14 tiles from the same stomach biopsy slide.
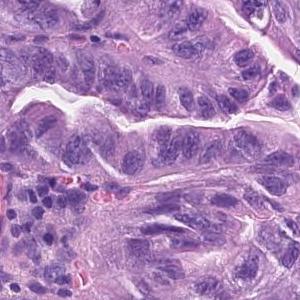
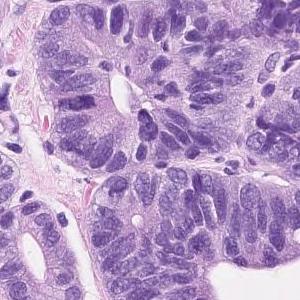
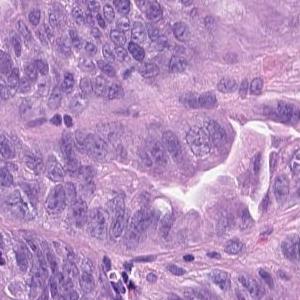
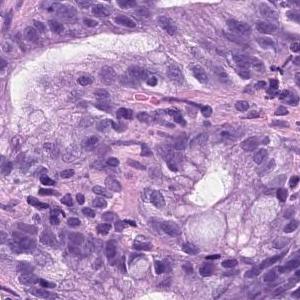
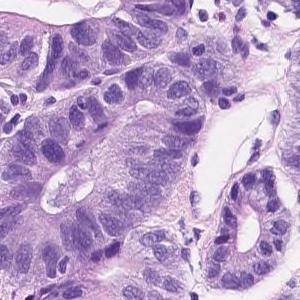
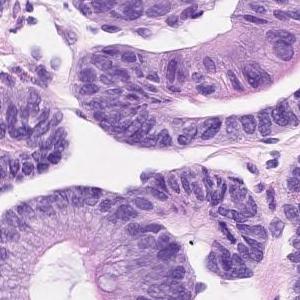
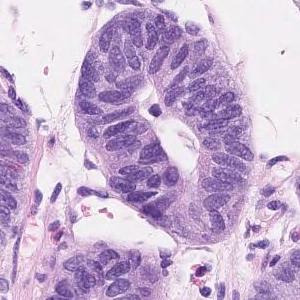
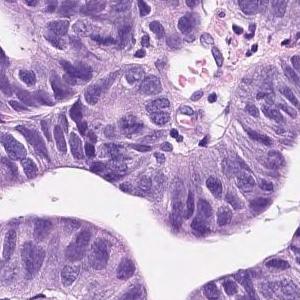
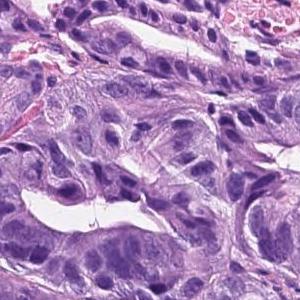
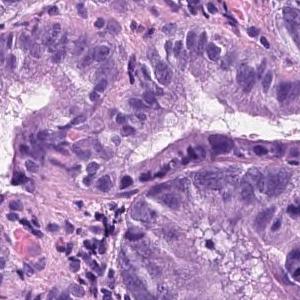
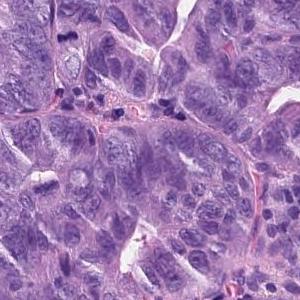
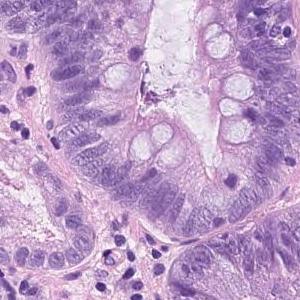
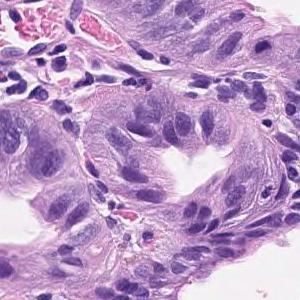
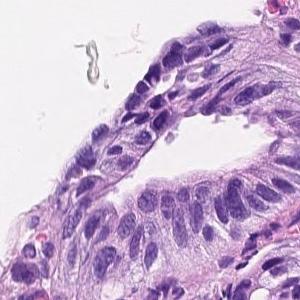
Diagnostic report for the slide these tiles come from. The report describes the whole slide, diagnosis included: not every finding it names need appear in these tiles, which may also show non-tumor tissue.
Tumor tissue consisting of medium-sized and irregular ducts is observed infiltrating in the superficial epithelium. Tumor cells are highly columnar, with nuclei aligned basolaterally and polarized. Well differentiated tubular adenocarcinoma.
